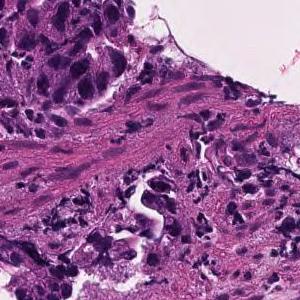
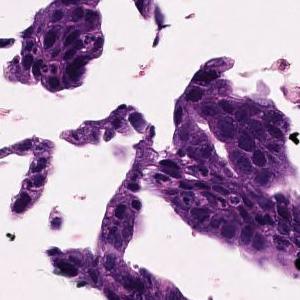
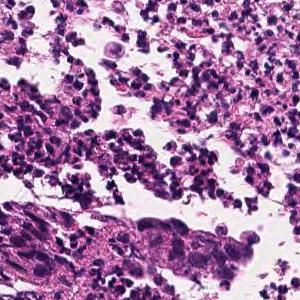
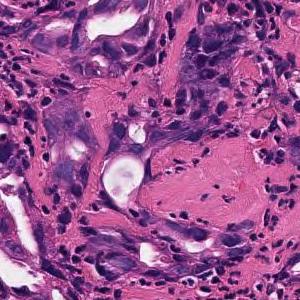
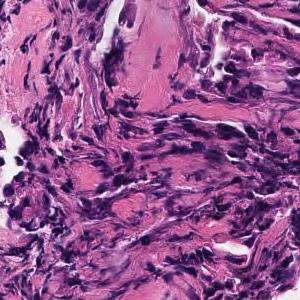
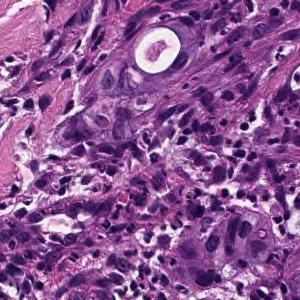
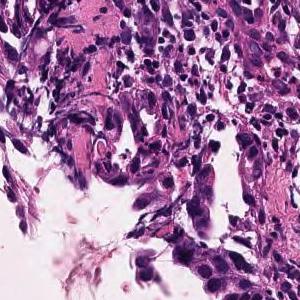
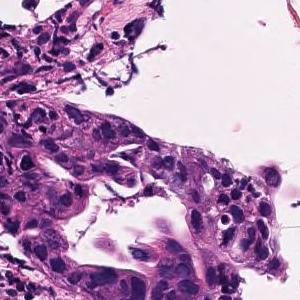
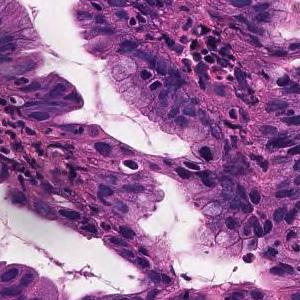
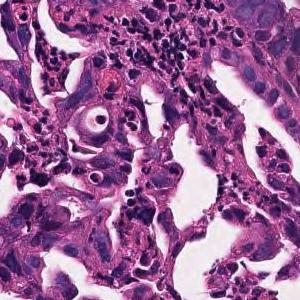
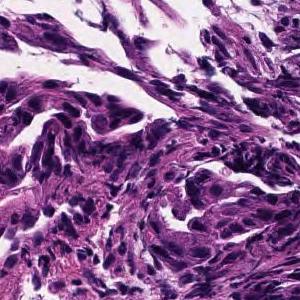
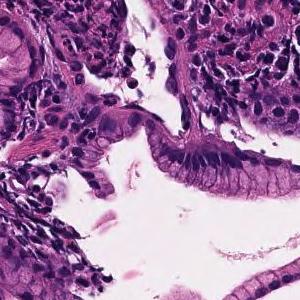
12 tiles from the same stomach biopsy slide · 300 × 300 pixels each · 20× magnification · H&E.
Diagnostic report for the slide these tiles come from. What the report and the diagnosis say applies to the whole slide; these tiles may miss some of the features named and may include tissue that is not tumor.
In the superficial epithelium, medium-sized to small irregular glandular ducts are formed, and in some cases, the glandular ducts are fused or small cord-like infiltrating tumor tissue is observed. moderately differentiated tubular adenocarcinoma
